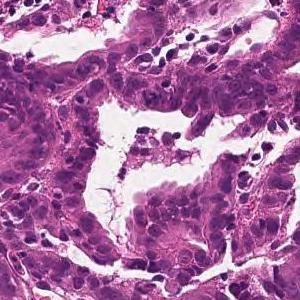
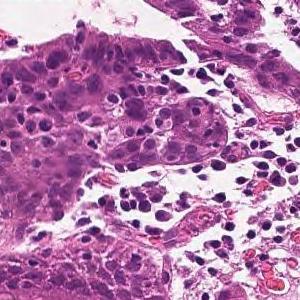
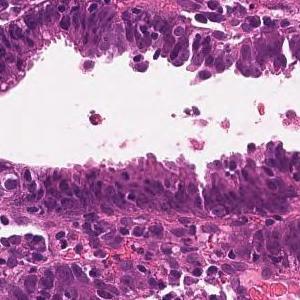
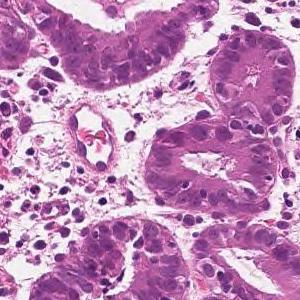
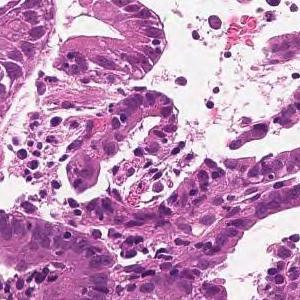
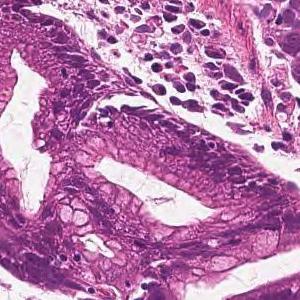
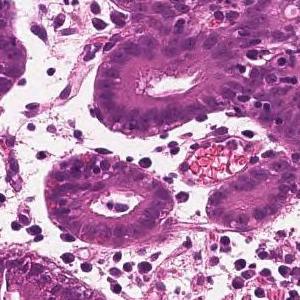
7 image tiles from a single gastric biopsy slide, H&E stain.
Pathology report for the slide these tiles were cut from. What the report and the diagnosis say applies to the whole slide; these tiles may miss some of the features named and may include tissue that is not tumor.
On the superficial epithelium, tumor tissue is found in which medium-sized irregular gland ducts fuse with each other and infiltrate. moderately differentiated tubular adenocarcinoma
